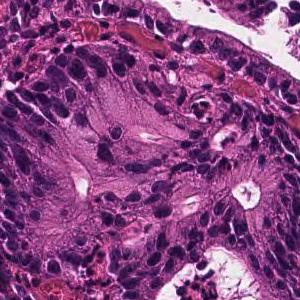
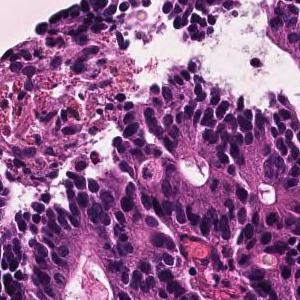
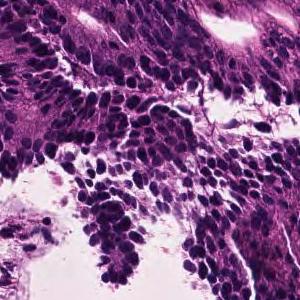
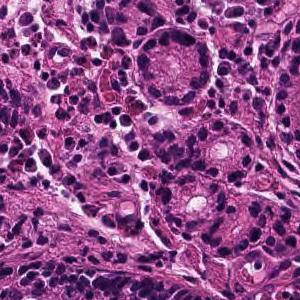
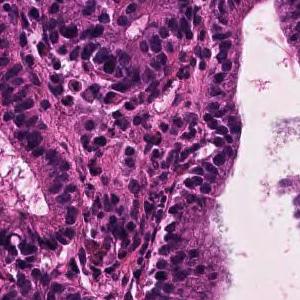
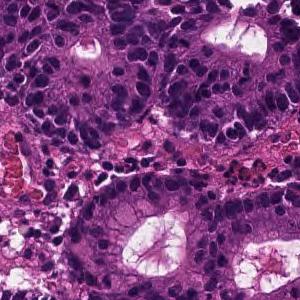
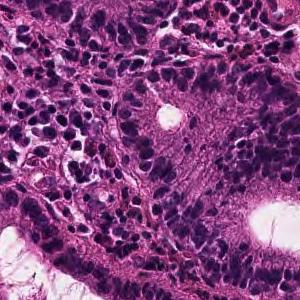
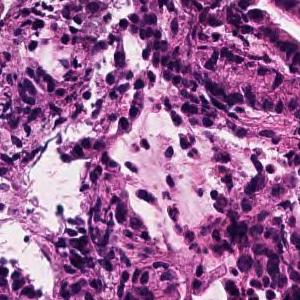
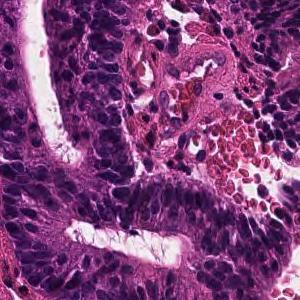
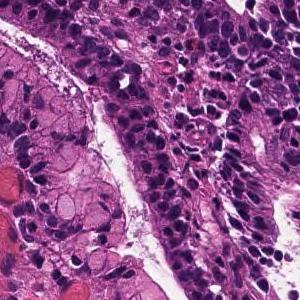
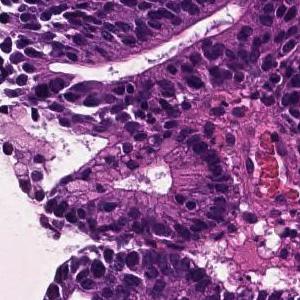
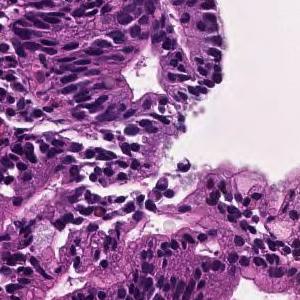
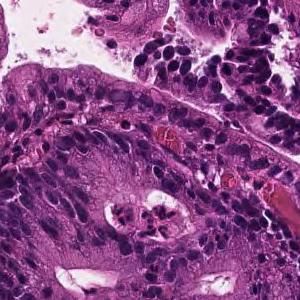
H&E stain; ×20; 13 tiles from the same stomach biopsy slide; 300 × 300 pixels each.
Pathology report for the slide these tiles were cut from. The report and the diagnosis cover the entire slide, so not every feature they name need be visible here, and some tissue shown may not be tumor.
In the superficial epithelium, tumor tissue that invades by forming medium-sized to small, irregular ducts is observed. moderately differentiated tubular adenocarcinoma.
